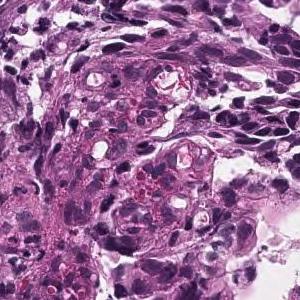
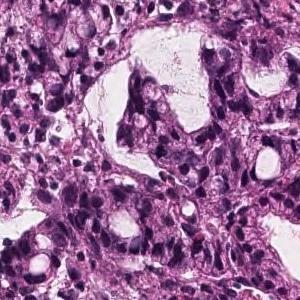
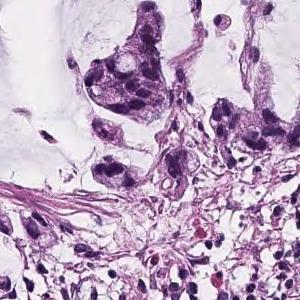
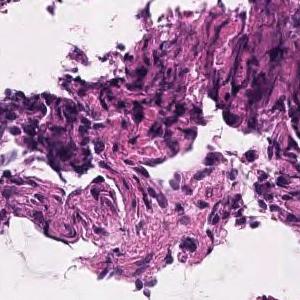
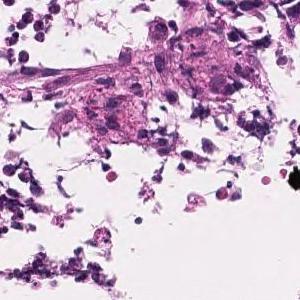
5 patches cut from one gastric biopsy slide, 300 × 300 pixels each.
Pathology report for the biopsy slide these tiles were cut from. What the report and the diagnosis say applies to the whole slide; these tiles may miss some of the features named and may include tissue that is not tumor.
Atypical epithelial cells form obscure ductal structures or small solid follicles, and tumor tissue that proliferates invasively with proliferation of inflammatory granulation tissue is observed. Mucinous adenocarcinoma .
